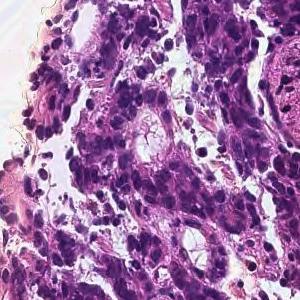
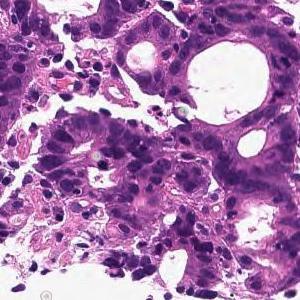
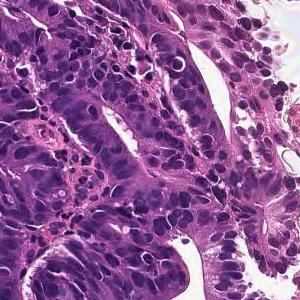
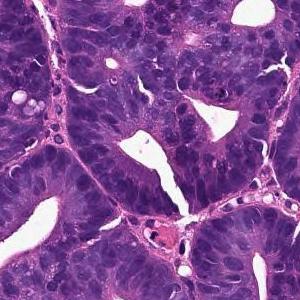
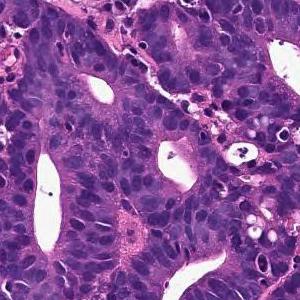
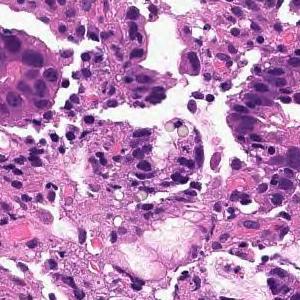
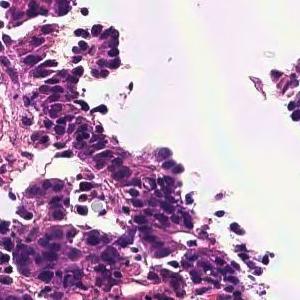
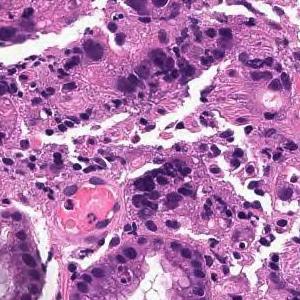
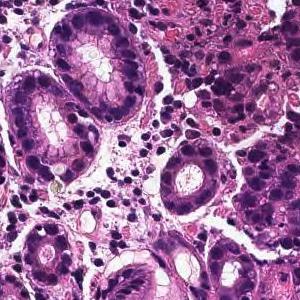
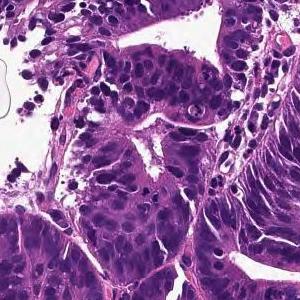
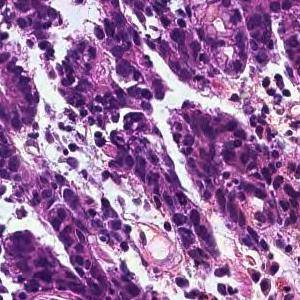
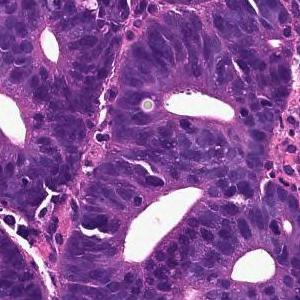
H&E stain; 12 patches cut from one gastric biopsy slide.
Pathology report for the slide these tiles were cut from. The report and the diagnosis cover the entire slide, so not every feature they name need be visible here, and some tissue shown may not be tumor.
On the superficial epithelium, tumor tissue consisting of large irregular glandular ducts partially fused and infiltrated is observed. Well to moderately differentiated tubular adenocarcinoma (well differentiated tubular adenocarcinoma, moderately differentiated tubular adenocarcinoma)
Subtype: Well to moderately differentiated tubular adenocarcinoma.
